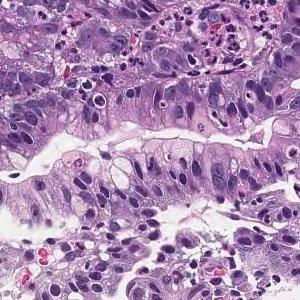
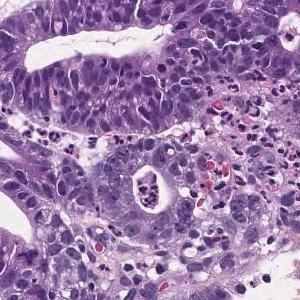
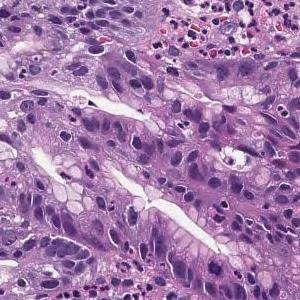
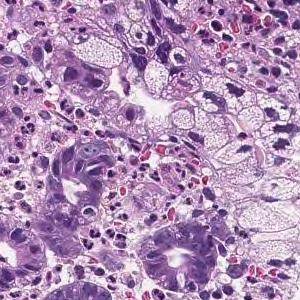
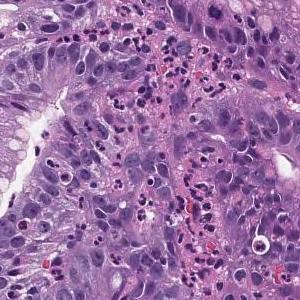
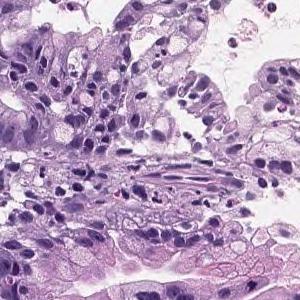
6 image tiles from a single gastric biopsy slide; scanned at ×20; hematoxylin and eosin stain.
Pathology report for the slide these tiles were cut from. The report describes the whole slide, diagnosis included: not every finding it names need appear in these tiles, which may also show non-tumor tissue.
In the superficial epithelium, tumor tissue that invades by forming medium-sized to small, irregular ducts is observed. Well differentiated tubular adenocarcinoma.
